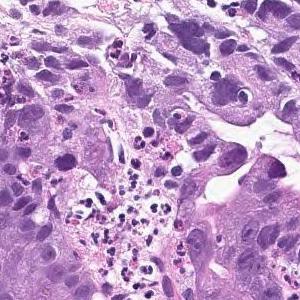
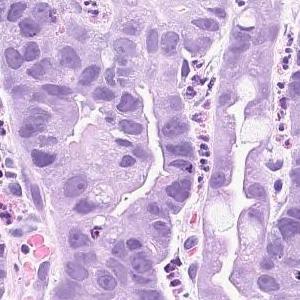
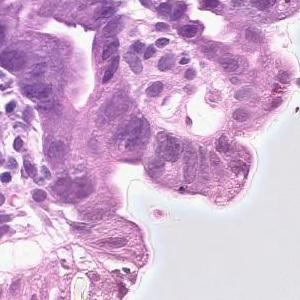
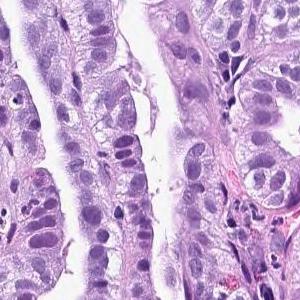
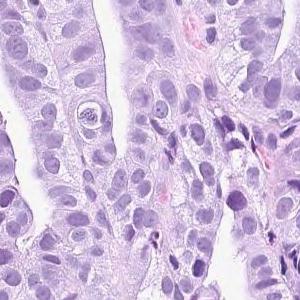
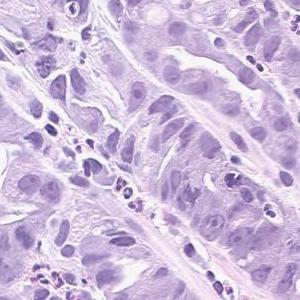
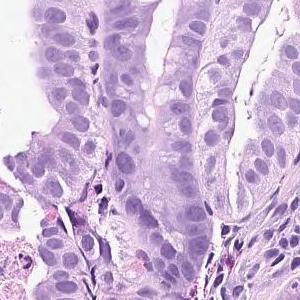
7 tiles cut from one stomach biopsy slide; 300 × 300 pixels each; hematoxylin and eosin stain; ×20.
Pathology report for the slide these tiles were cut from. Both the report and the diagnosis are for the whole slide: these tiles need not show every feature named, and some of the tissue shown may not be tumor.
Infiltrating tumor tissue is observed in the superficial epithelium, showing large papillary structures or large and small ducts. Papillary adenocarcinoma
